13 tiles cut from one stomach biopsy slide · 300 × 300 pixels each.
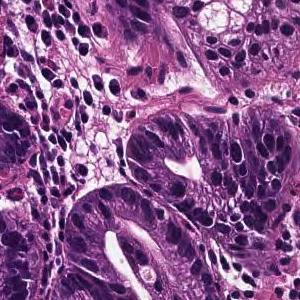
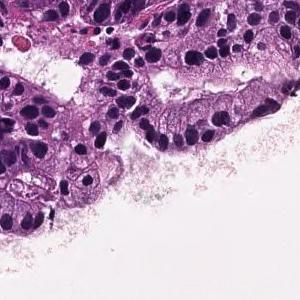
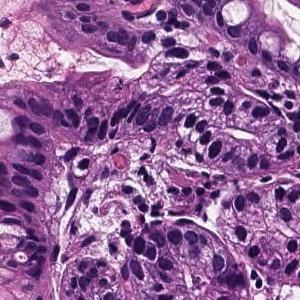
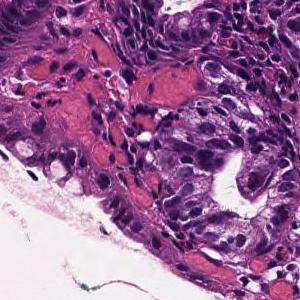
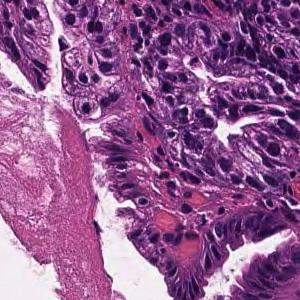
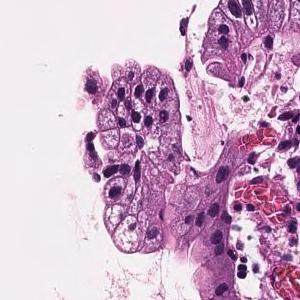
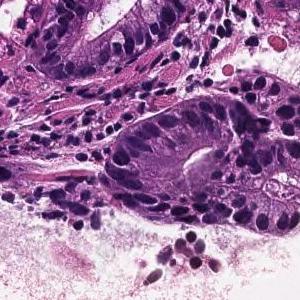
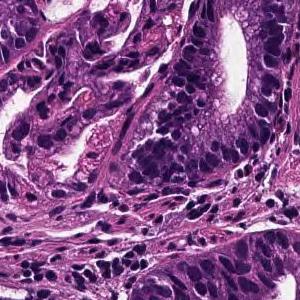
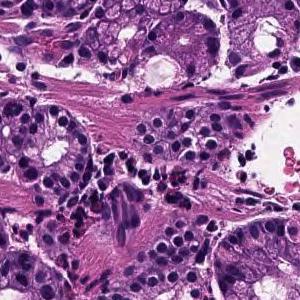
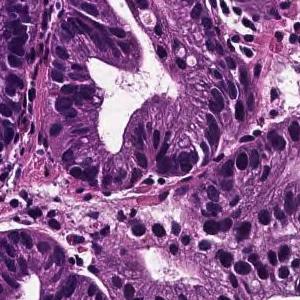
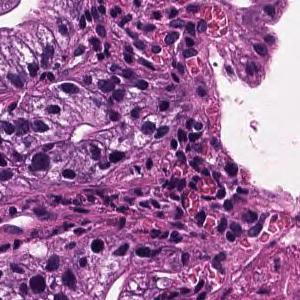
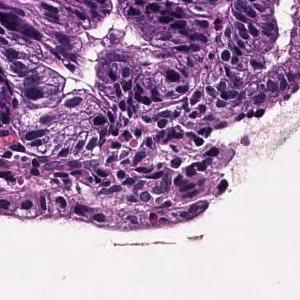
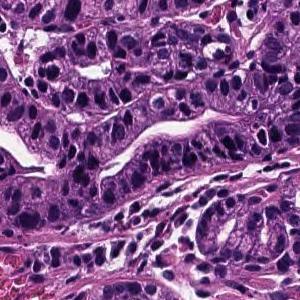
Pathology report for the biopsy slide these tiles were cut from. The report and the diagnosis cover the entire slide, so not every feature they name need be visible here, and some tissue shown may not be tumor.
On the superficial epithelium, tumor tissue that infiltrates by forming medium-sized papillary or small irregular ducts is observed. Papillary adenocarcinoma
